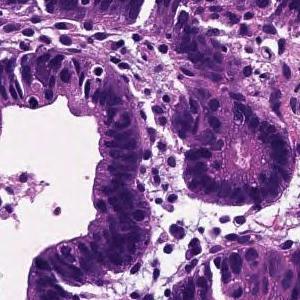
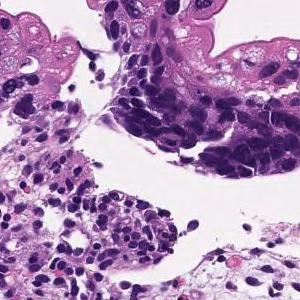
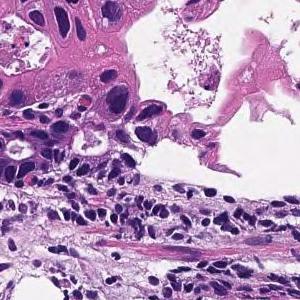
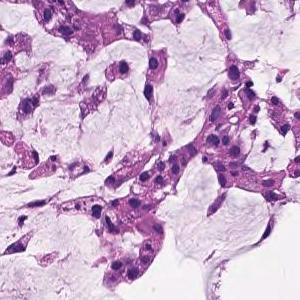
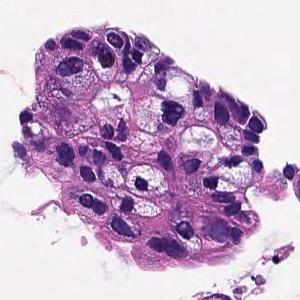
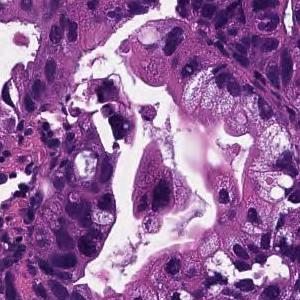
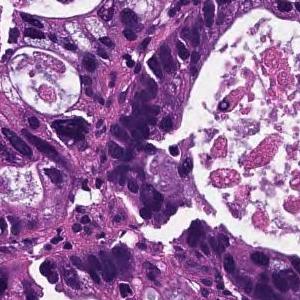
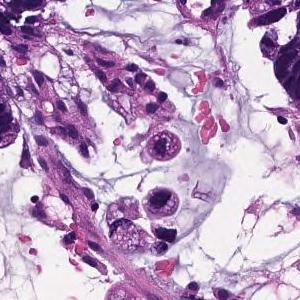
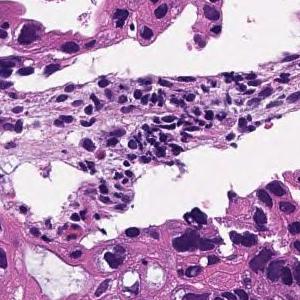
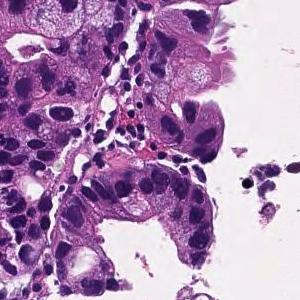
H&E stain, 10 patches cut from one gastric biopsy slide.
The pathologist's report on the biopsy slide these tiles were taken from. The report describes the whole slide, diagnosis included: not every finding it names need appear in these tiles, which may also show non-tumor tissue.
In the superficial epithelium, tumor tissue that invades by forming medium-sized to small, irregular ducts is observed. moderately differentiated tubular adenocarcinoma.
